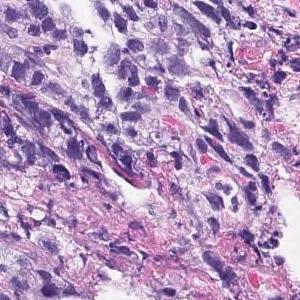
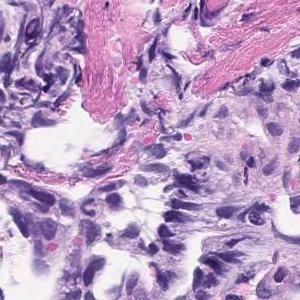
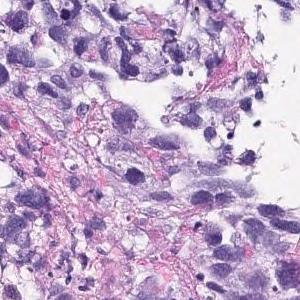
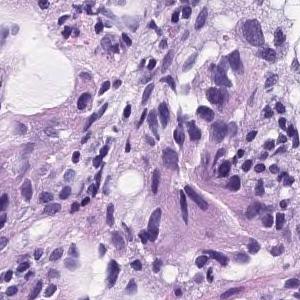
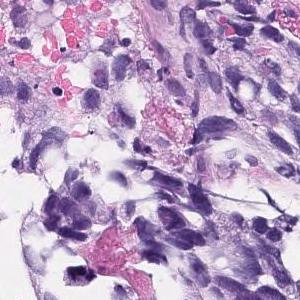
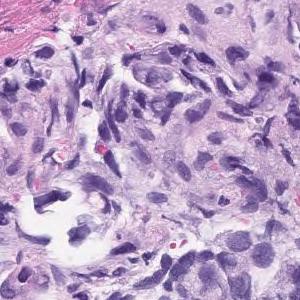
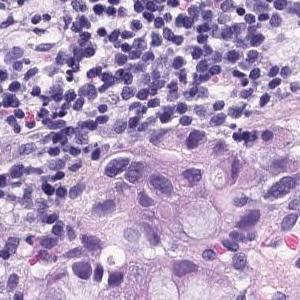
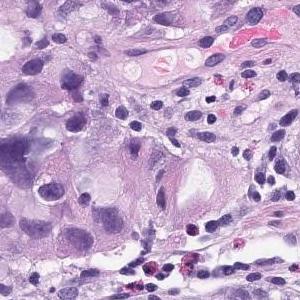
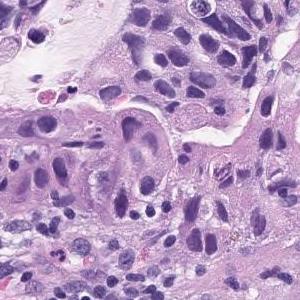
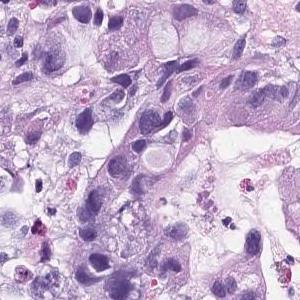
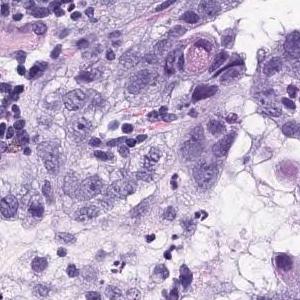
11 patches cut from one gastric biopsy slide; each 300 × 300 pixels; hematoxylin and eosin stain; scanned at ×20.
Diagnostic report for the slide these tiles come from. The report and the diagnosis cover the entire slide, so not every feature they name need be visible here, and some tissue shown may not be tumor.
In the superficial epithelium, tumor tissue that invades by forming medium-sized to small, irregular ducts is observed. Moderately differentiated adenocarcinoma.
Tumor subtype: moderately differentiated tubular adenocarcinoma.
